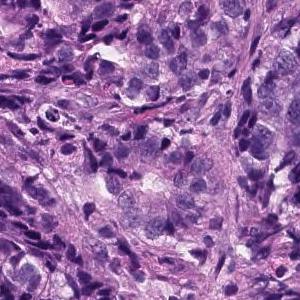
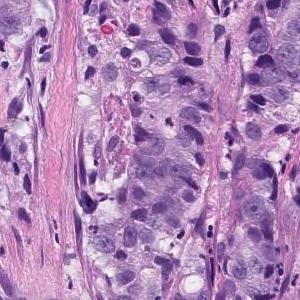
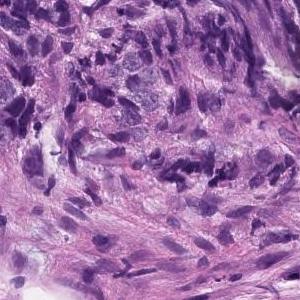
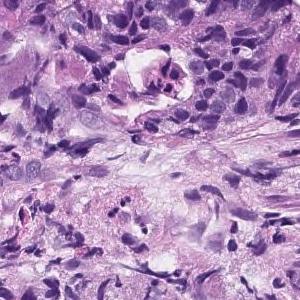
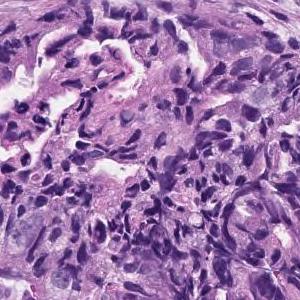
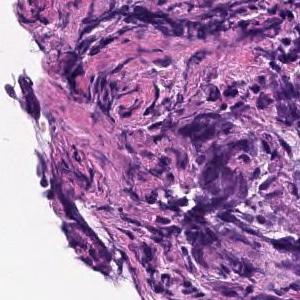
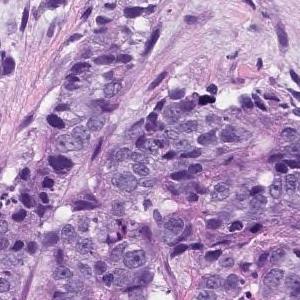
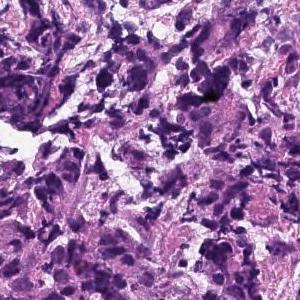
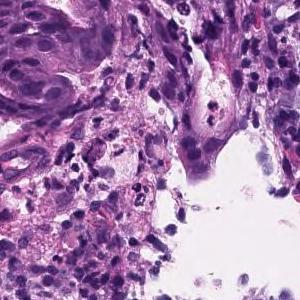
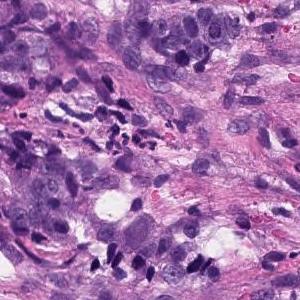
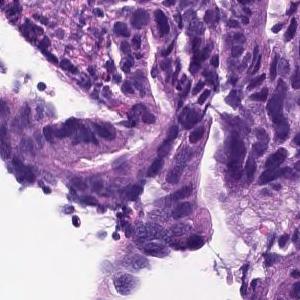
11 patches cut from one gastric biopsy slide, each 300 × 300 pixels, H&E, scanned at ×20.
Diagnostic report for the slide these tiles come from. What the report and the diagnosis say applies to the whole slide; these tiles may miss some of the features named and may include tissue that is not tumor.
Medium to small, irregular glandular ducts are formed in the superficial epithelium, and in some cases, the glandular ducts are fused to show solid alveolar lesions and infiltrating tumor tissue is observed. Moderately to poorly differentiated adenocarcinoma.
